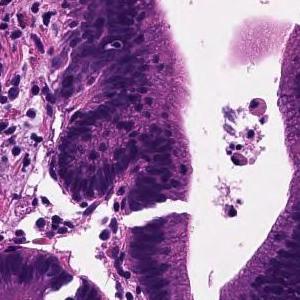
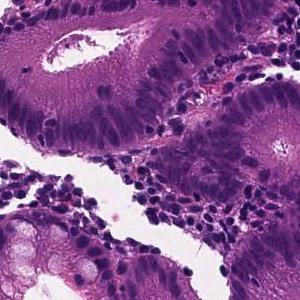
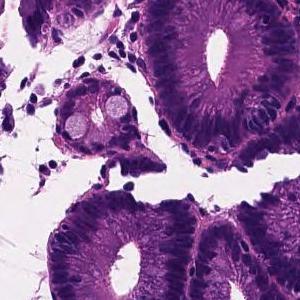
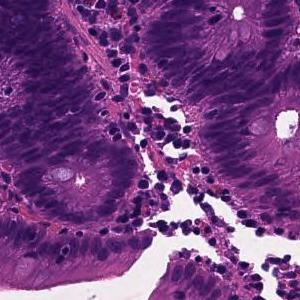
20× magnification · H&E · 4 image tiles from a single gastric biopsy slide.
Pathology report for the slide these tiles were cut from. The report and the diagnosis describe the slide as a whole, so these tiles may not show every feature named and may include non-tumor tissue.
Tumor tissue in which medium to small irregular ducts infiltrate and proliferate in the submucosa can be seen in the epithelium. Well differentiated tubular adenocarcinoma
